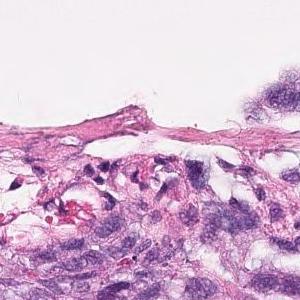
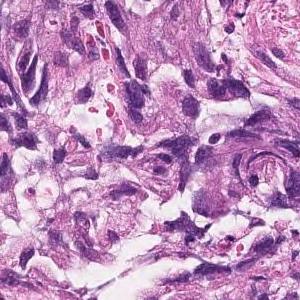
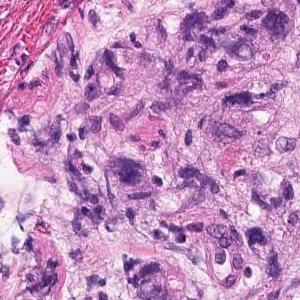
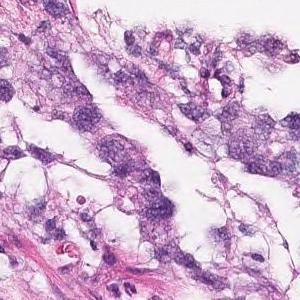
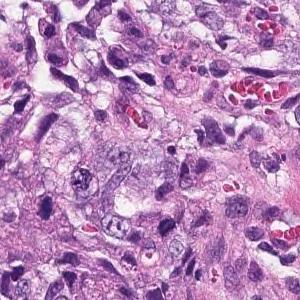
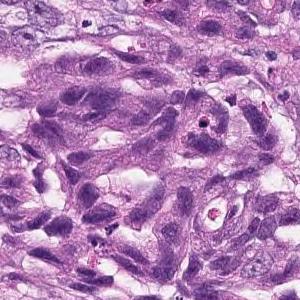
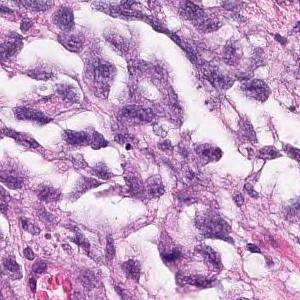
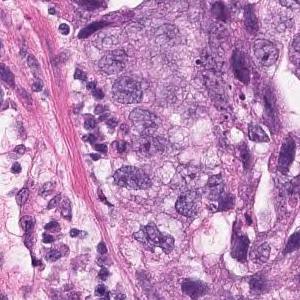
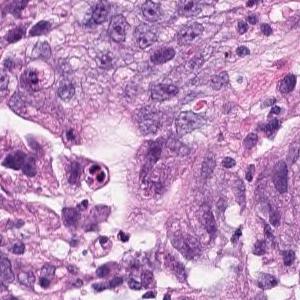
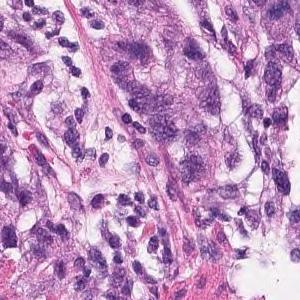
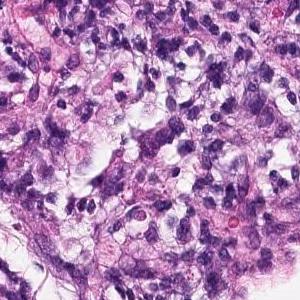
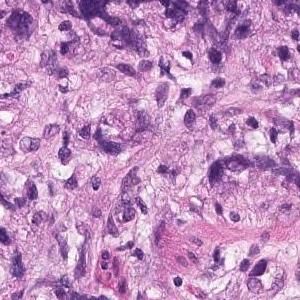
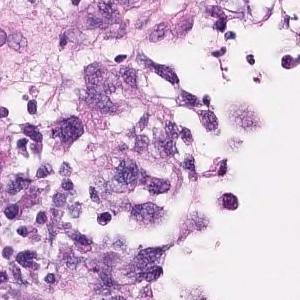
13 patches cut from one gastric biopsy slide · H&E · ×20.
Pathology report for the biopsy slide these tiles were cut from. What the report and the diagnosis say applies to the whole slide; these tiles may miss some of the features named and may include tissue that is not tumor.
The superficial epithelium shows a large sheet-like shape, and some tumor tissue infiltrates with small irregular ducts. Poorly differentiated adenocarcinoma, solid-type
Subtype: Poorly differentiated adenocarcinoma, solid type (Japanese Classification of Gastric Carcinoma). The WHO 2019 equivalent is tubular adenocarcinoma, poorly differentiated.
